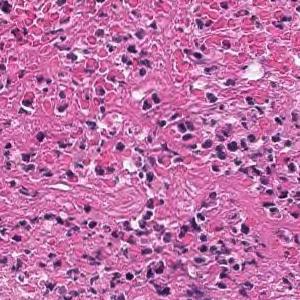
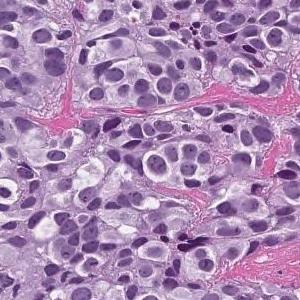
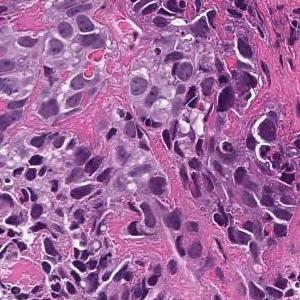
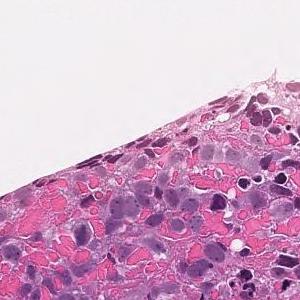
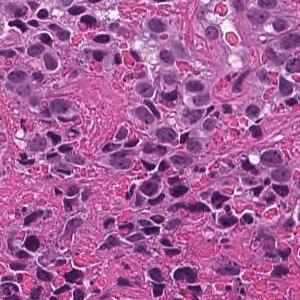
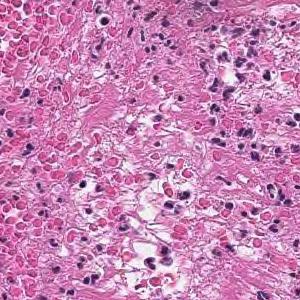
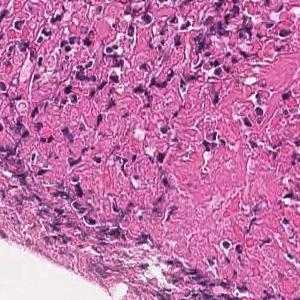
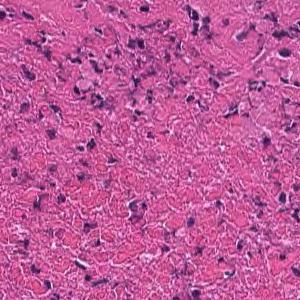
8 tiles from the same stomach biopsy slide; 20× magnification; hematoxylin and eosin stain.
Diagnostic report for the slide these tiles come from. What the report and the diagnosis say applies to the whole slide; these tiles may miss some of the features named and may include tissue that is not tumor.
The superficial epithelium shows a large sheet-like shape, and some tumor tissue infiltrates with small irregular ducts. Poorly differentiated adenocarcinoma, solid-type
Histological subtype: Poorly differentiated adenocarcinoma, solid type, a category of the Japanese Classification of Gastric Carcinoma; in the WHO 2019 classification it is tubular adenocarcinoma, poorly differentiated.
